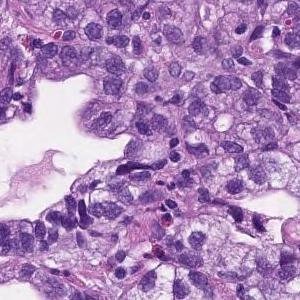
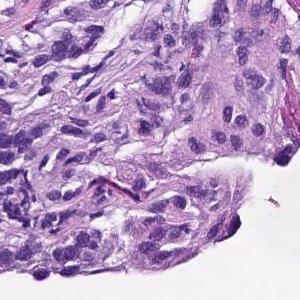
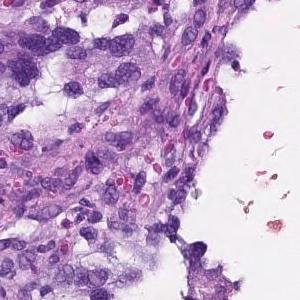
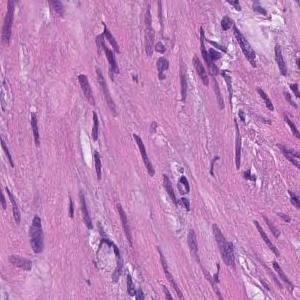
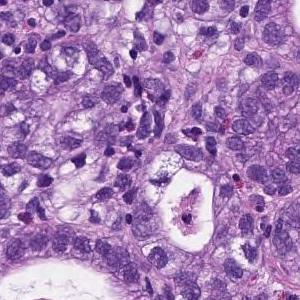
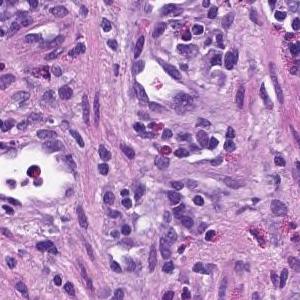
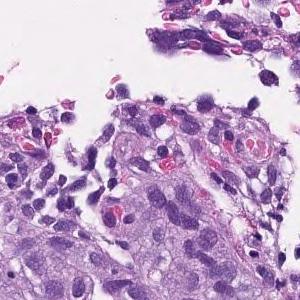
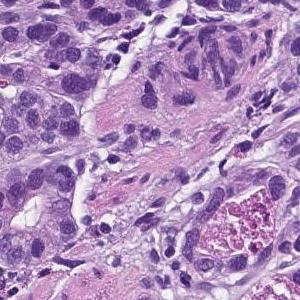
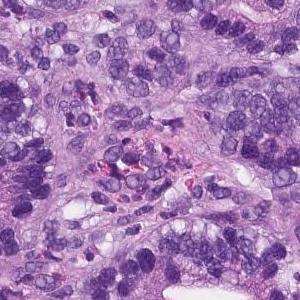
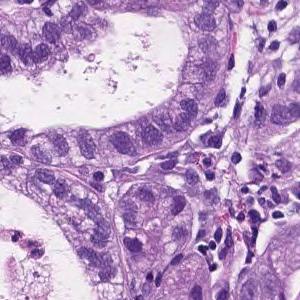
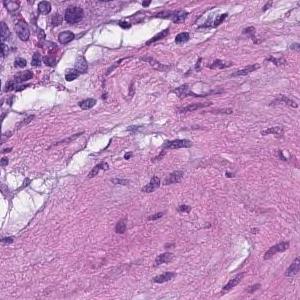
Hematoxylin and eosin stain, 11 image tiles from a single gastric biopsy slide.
The pathologist's report on the biopsy slide these tiles were taken from. The report describes the whole slide, diagnosis included: not every finding it names need appear in these tiles, which may also show non-tumor tissue.
From the superficial epithelium to the muscularis mucosae, tumor tissue consisting of medium-sized and irregular glandular ducts infiltrating is observed. Well differentiated tubular adenocarcinoma
